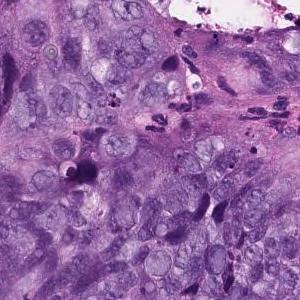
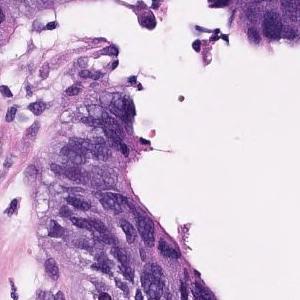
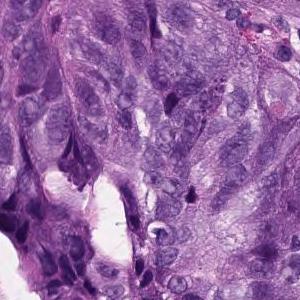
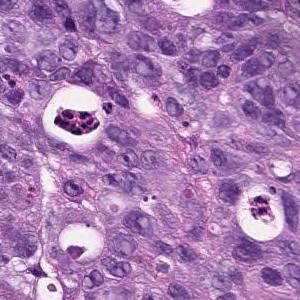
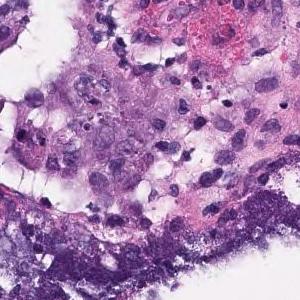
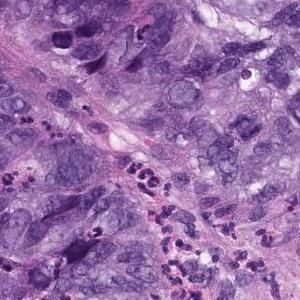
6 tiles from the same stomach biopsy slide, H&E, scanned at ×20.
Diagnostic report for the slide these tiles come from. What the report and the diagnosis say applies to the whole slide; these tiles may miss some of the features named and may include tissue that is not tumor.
In the superficial epithelium, tumor tissue that invades by forming medium-sized to small, irregular ducts is observed. Moderately differentiated adenocarcinoma.
Subtype: Moderately differentiated tubular adenocarcinoma.
